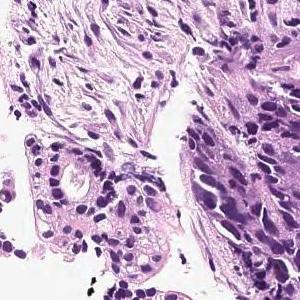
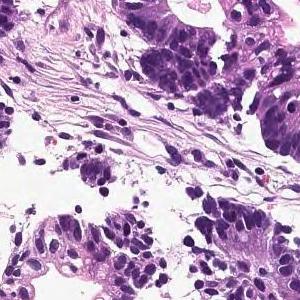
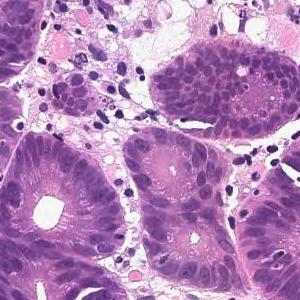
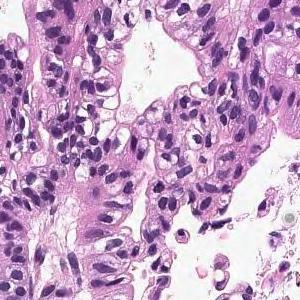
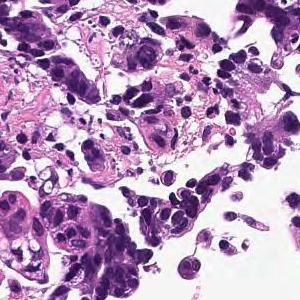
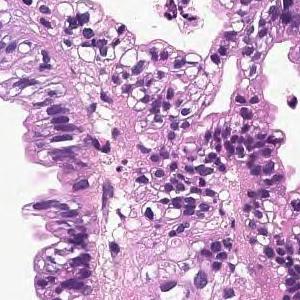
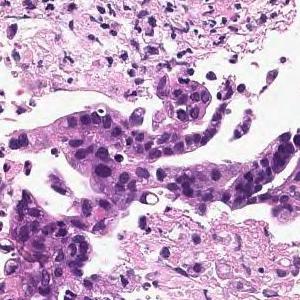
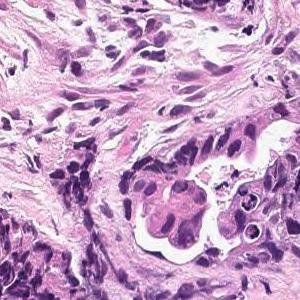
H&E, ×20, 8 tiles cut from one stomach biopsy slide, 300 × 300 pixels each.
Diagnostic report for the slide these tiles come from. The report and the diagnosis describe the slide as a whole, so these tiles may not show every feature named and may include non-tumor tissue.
In the superficial epithelium, tumor tissue that invades by forming medium-sized to small, irregular ducts is observed. moderately differentiated tubular adenocarcinoma.
